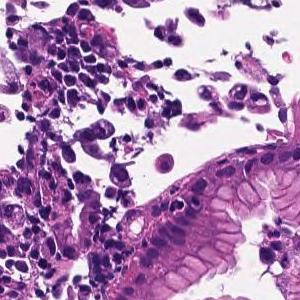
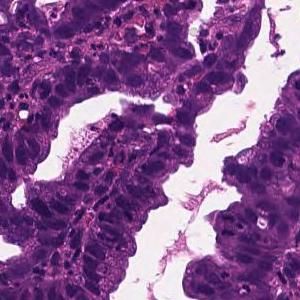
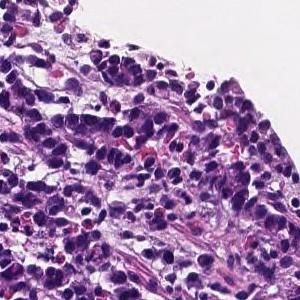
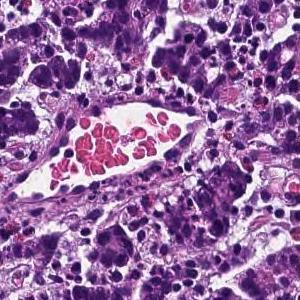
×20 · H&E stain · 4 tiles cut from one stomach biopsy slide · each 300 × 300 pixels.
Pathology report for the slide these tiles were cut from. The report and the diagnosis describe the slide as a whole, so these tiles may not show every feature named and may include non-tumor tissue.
In the superficial epithelium, tumor tissue that invades by forming medium-sized to small, irregular ducts is observed. moderately differentiated tubular adenocarcinoma.
